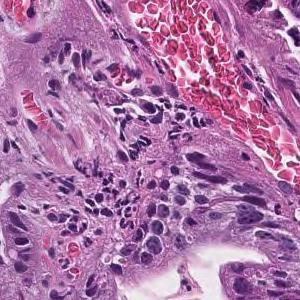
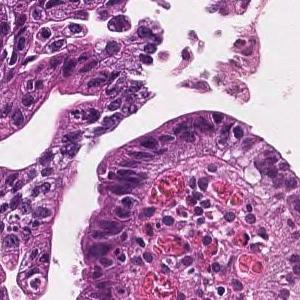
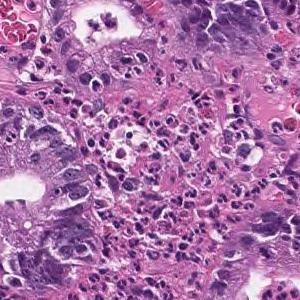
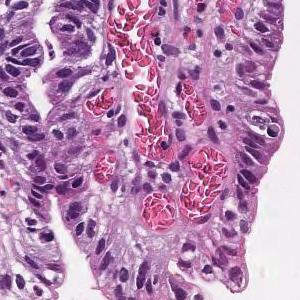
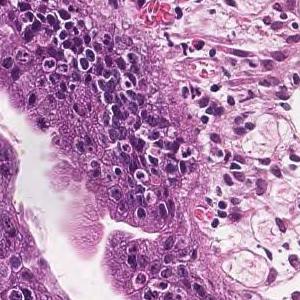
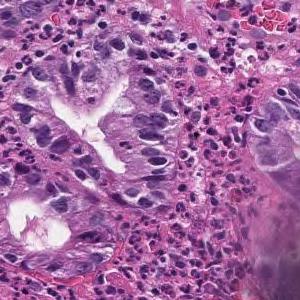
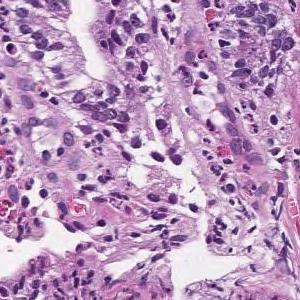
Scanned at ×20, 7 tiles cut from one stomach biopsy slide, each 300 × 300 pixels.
Pathology report for the slide these tiles were cut from. The report describes the whole slide, diagnosis included: not every finding it names need appear in these tiles, which may also show non-tumor tissue.
Tumor cells are large, highly columnar, large club-shaped nuclei, and are associated with chromatin aggregation. Papillary adenocarcinoma.
